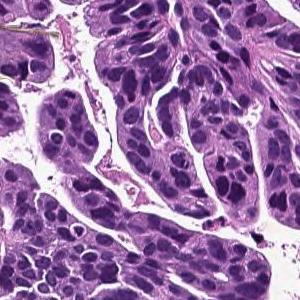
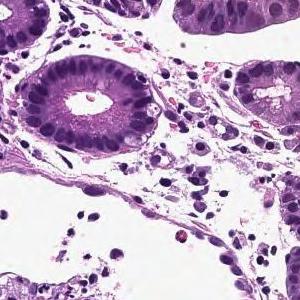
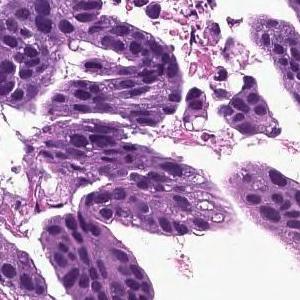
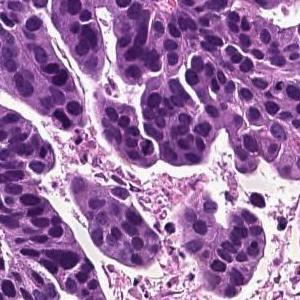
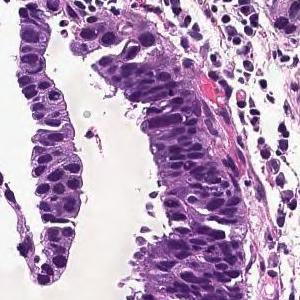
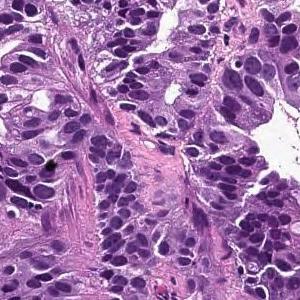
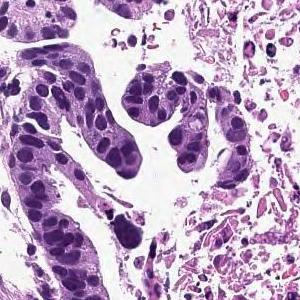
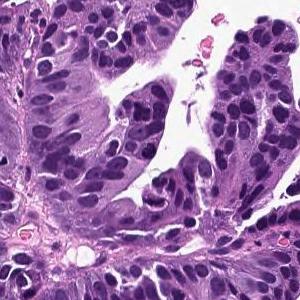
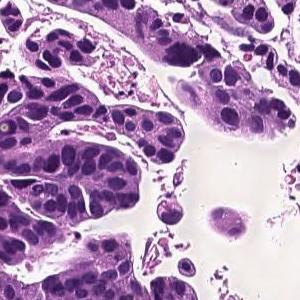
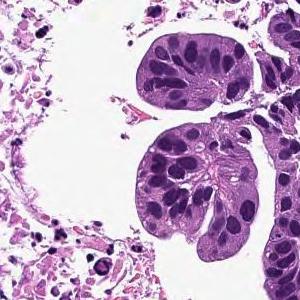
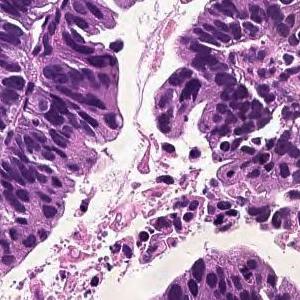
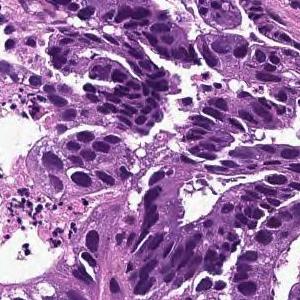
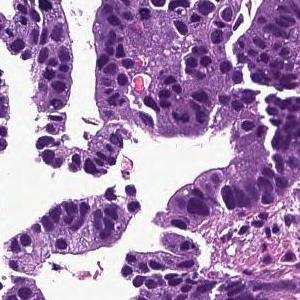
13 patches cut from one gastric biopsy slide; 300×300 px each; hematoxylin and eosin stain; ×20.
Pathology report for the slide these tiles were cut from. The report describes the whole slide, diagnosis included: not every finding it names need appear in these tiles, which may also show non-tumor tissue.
Tumor cells are large, highly columnar, large club-shaped nuclei, and are associated with chromatin aggregation. Papillary adenocarcinoma.
